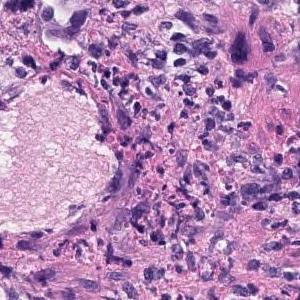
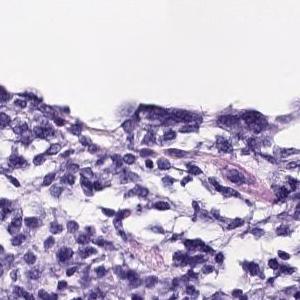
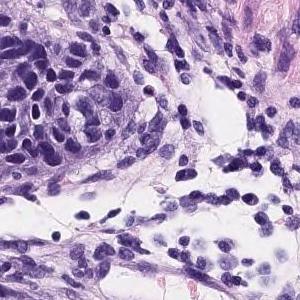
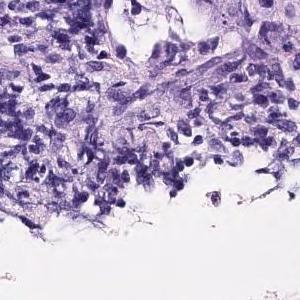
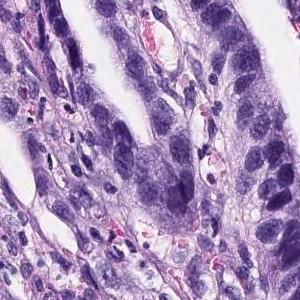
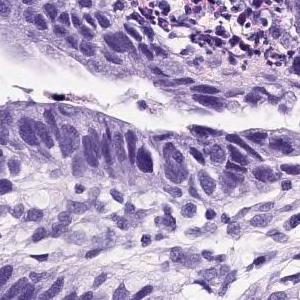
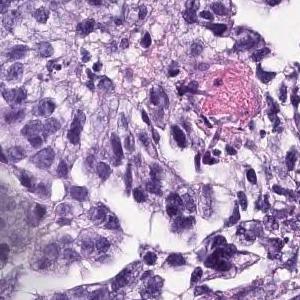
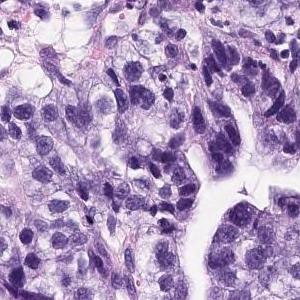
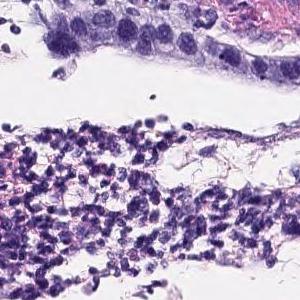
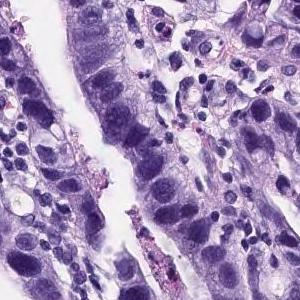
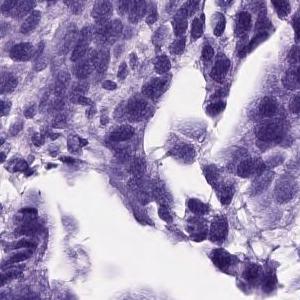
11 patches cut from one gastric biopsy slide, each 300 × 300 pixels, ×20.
Report on the slide these tiles come from. What the report and the diagnosis say applies to the whole slide; these tiles may miss some of the features named and may include tissue that is not tumor.
On the superficial epithelium, tumor tissue consisting of medium to small irregular tubules partially fused and proliferated is observed. moderately differentiated tubular adenocarcinoma
